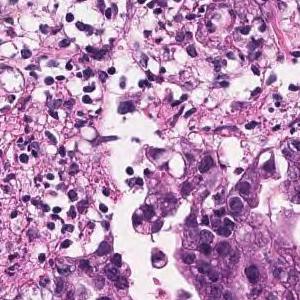
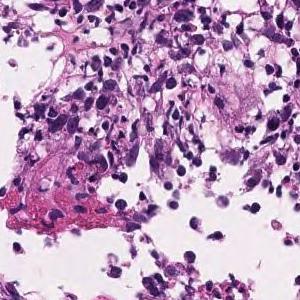
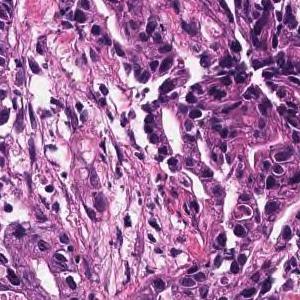
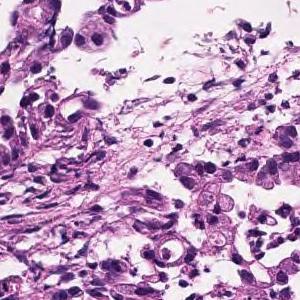
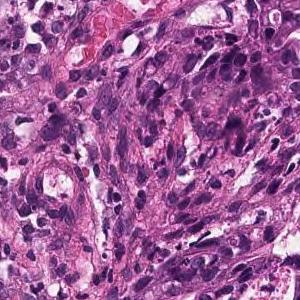
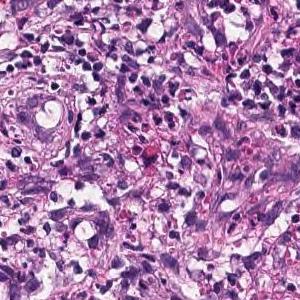
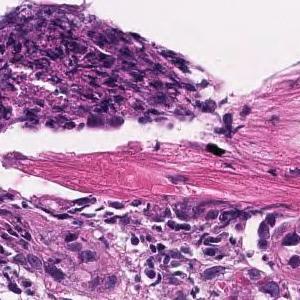
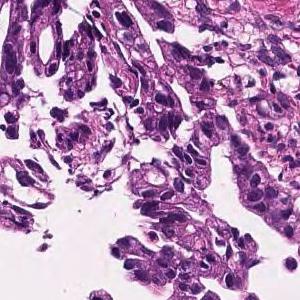
8 image tiles from a single gastric biopsy slide, 300 × 300 pixels each, hematoxylin and eosin stain, 20× magnification.
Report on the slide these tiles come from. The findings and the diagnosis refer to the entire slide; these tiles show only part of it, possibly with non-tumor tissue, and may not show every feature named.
In the superficial epithelium, medium to small, irregular gland ducts are formed, and in some cases, the gland ducts are fused to show solid alveolar lesions and infiltrating tumor tissue is observed. Moderately to poorly differentiated adenocarcinoma.
